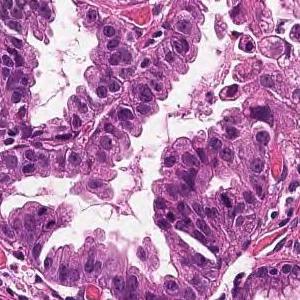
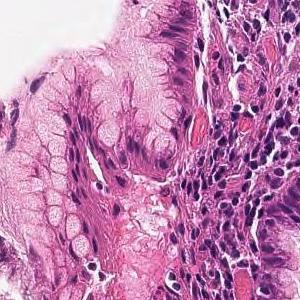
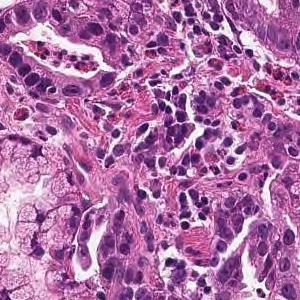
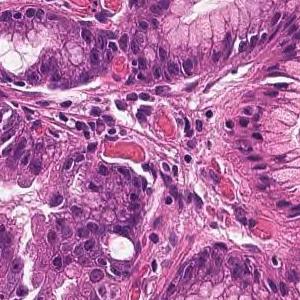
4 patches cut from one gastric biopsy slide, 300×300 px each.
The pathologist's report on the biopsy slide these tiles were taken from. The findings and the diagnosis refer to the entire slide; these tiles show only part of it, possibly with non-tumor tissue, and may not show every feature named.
From the superficial epithelium to the muscularis mucosae, tumor tissue consisting of medium-sized and irregular glandular ducts infiltrating is observed. Well differentiated tubular adenocarcinoma
